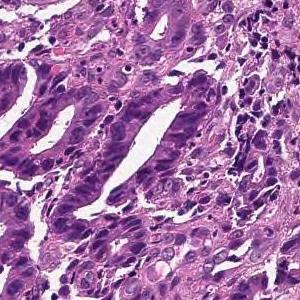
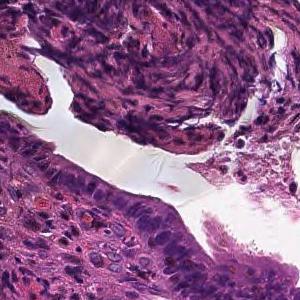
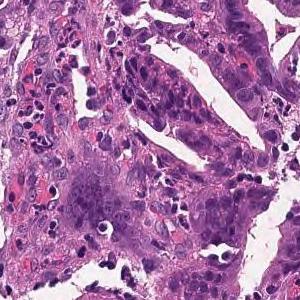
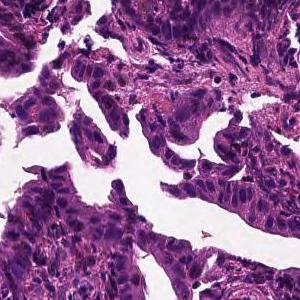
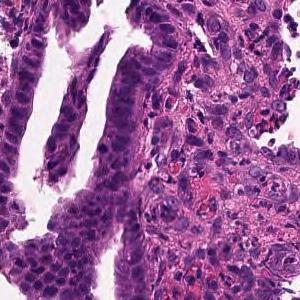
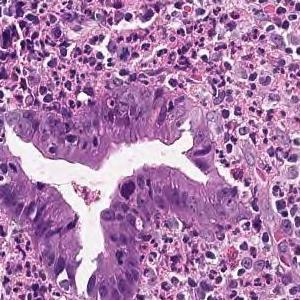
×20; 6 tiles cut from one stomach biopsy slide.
The pathologist's report on the biopsy slide these tiles were taken from. What the report and the diagnosis say applies to the whole slide; these tiles may miss some of the features named and may include tissue that is not tumor.
From the superficial epithelium to the muscularis mucosae, tumor tissue consisting of medium-sized and irregular glandular ducts infiltrating is observed. Well differentiated tubular adenocarcinoma
